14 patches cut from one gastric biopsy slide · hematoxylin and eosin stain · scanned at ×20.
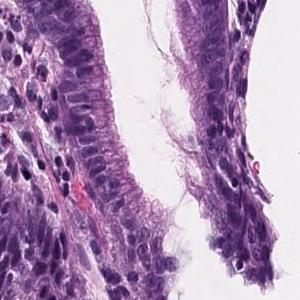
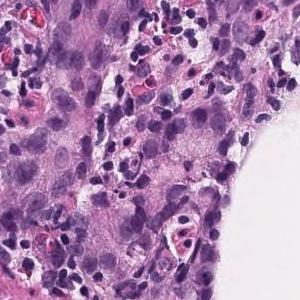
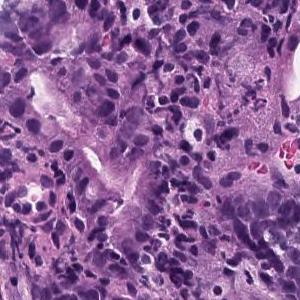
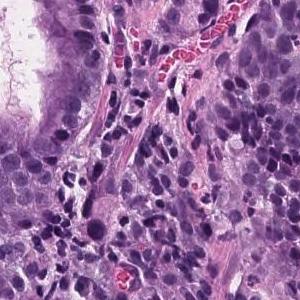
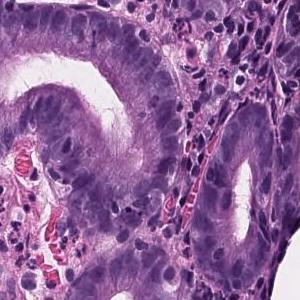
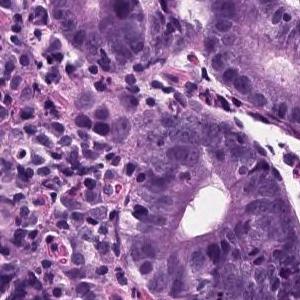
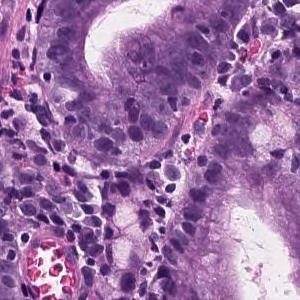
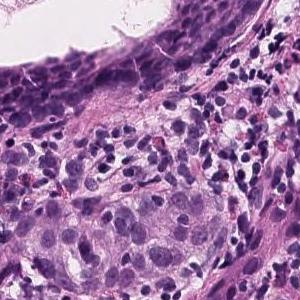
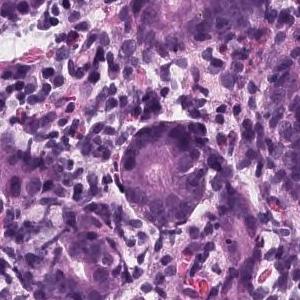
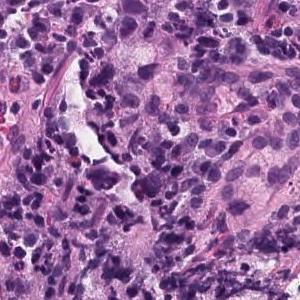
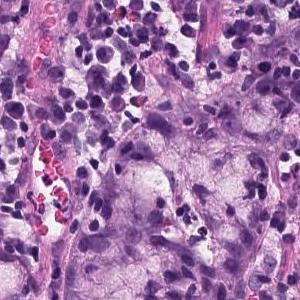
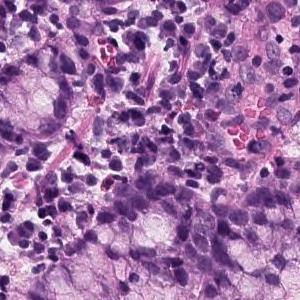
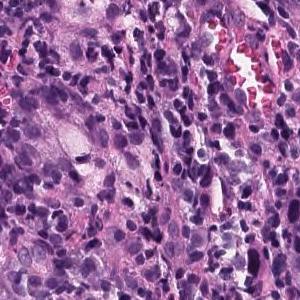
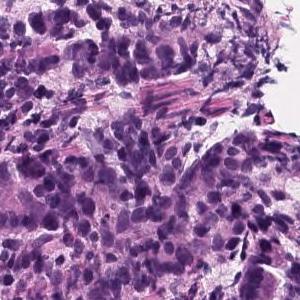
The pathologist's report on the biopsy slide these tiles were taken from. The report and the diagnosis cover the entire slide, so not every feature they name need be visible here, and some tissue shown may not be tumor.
In the superficial epithelium, tumor tissue that invades by forming medium-sized to small, irregular ducts is observed. Moderately differentiated adenocarcinoma.
Histologic type: Moderately differentiated tubular adenocarcinoma.
